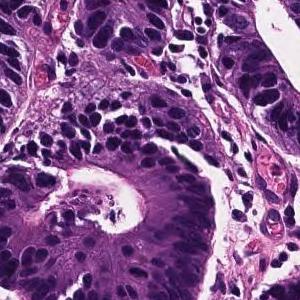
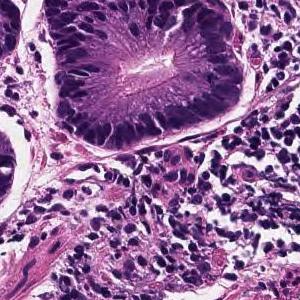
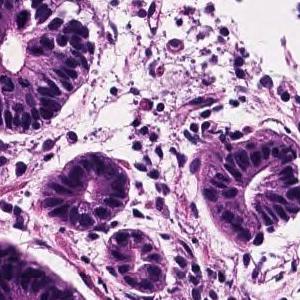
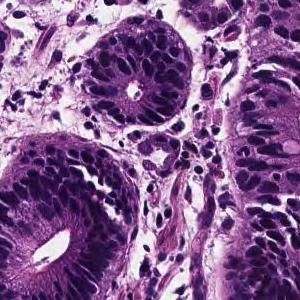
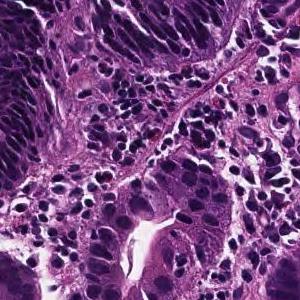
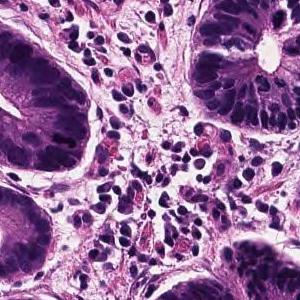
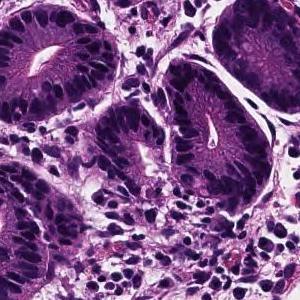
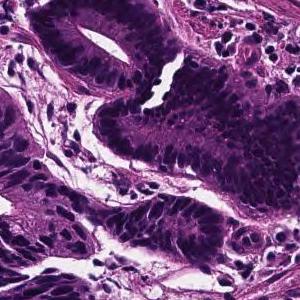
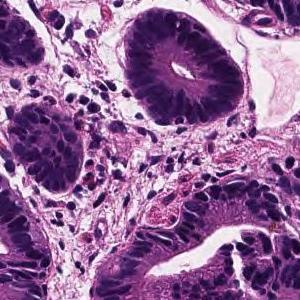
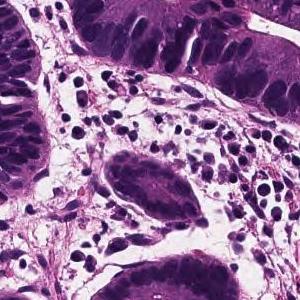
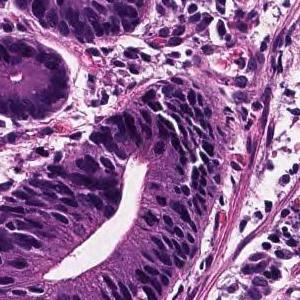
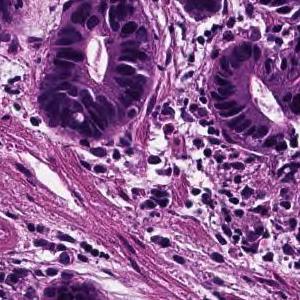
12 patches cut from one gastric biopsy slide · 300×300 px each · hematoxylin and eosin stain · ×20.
Pathology report for the biopsy slide these tiles were cut from. The report describes the whole slide, diagnosis included: not every finding it names need appear in these tiles, which may also show non-tumor tissue.
From the superficial epithelium to the muscularis mucosae, tumor tissue consisting of medium-sized and irregular glandular ducts infiltrating is observed. Well differentiated tubular adenocarcinoma
